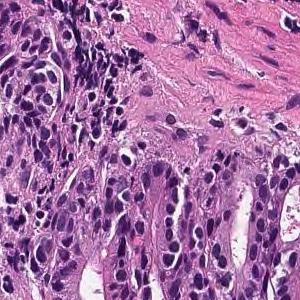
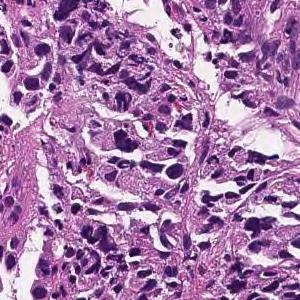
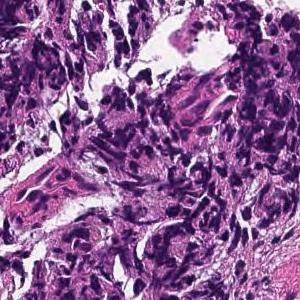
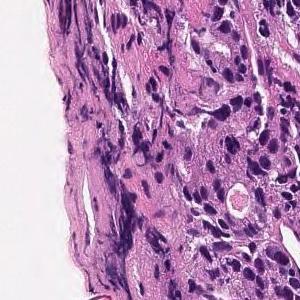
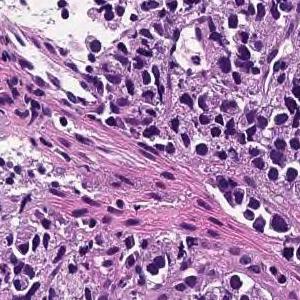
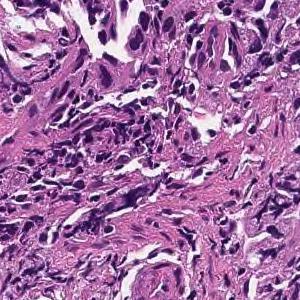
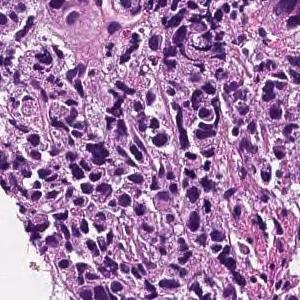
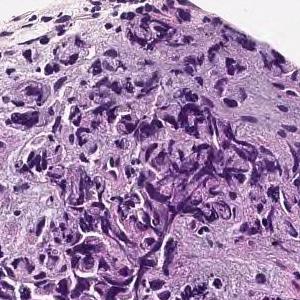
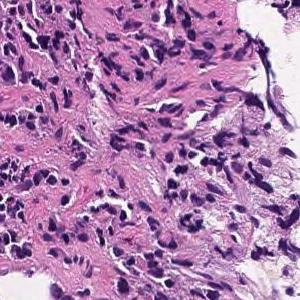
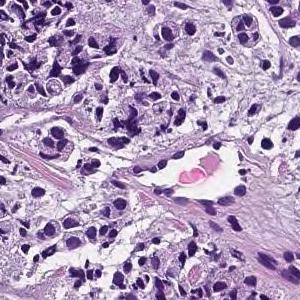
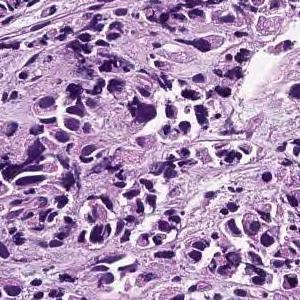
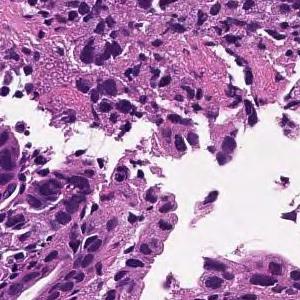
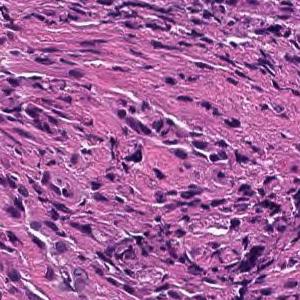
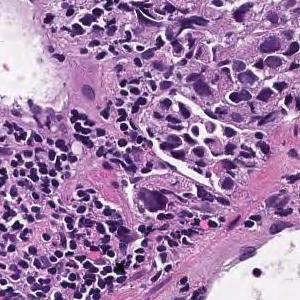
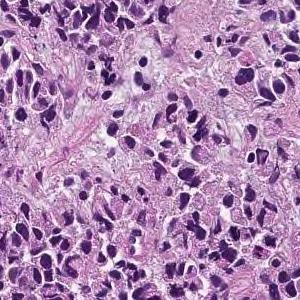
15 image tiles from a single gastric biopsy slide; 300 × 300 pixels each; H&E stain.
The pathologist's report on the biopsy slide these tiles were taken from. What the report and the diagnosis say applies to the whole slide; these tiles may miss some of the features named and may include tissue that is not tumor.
The lamina propria shows small cord-like tumor tissue that infiltrates with fibrosis and marked chronic inflammatory cell infiltration. Poorly differentiated adenocarcinoma, non-solid type
"Non-solid type" is a category of the Japanese Classification of Gastric Carcinoma.
